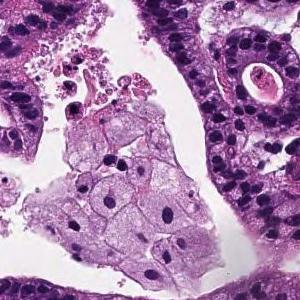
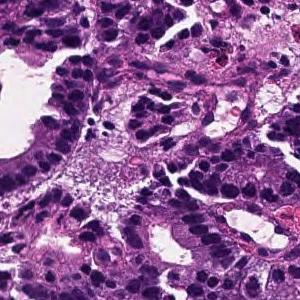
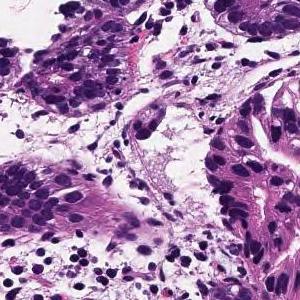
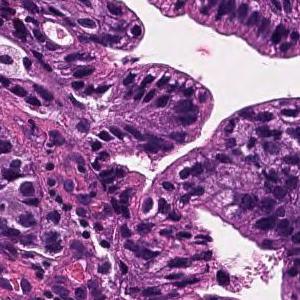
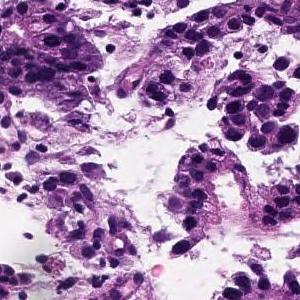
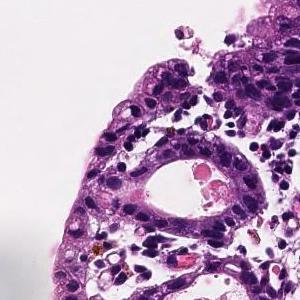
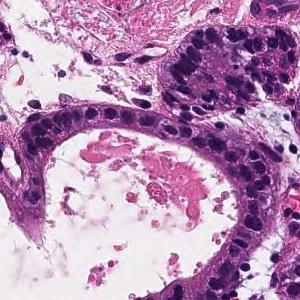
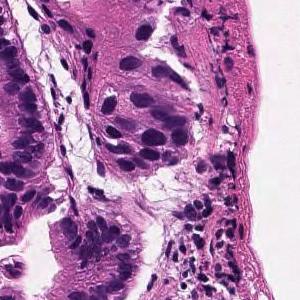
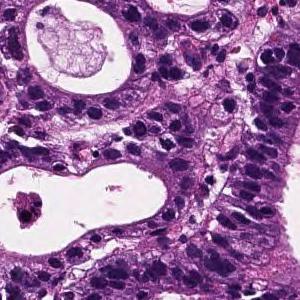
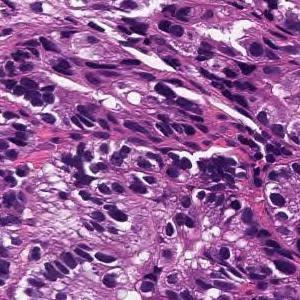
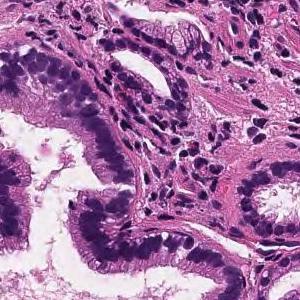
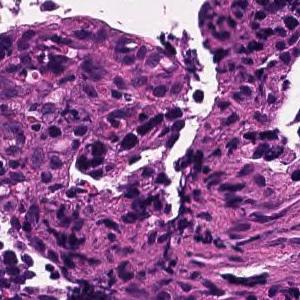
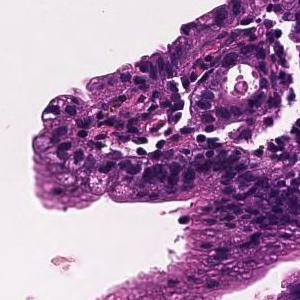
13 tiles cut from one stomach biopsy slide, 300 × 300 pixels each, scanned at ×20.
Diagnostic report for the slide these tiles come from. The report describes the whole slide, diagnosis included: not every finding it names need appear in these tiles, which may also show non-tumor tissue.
From the superficial epithelium to the muscularis mucosae, tumor tissue consisting of medium-sized and irregular glandular ducts infiltrating is observed. Well differentiated tubular adenocarcinoma
